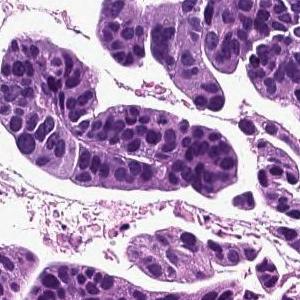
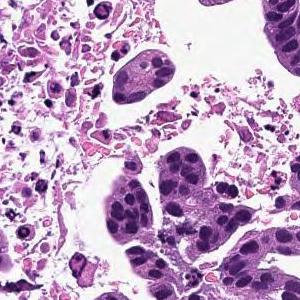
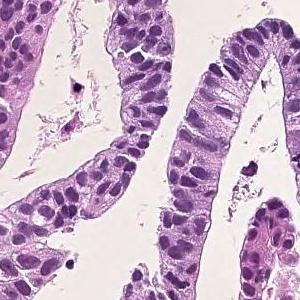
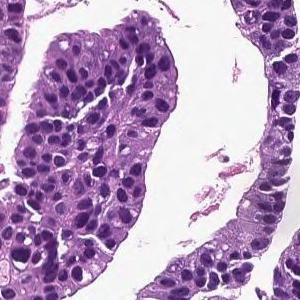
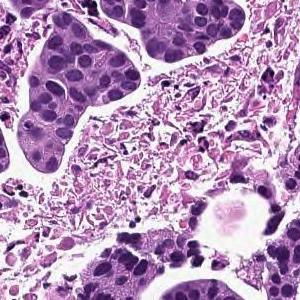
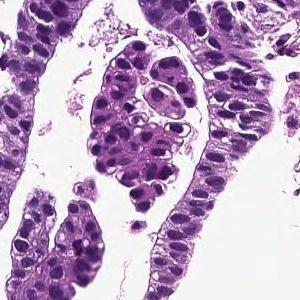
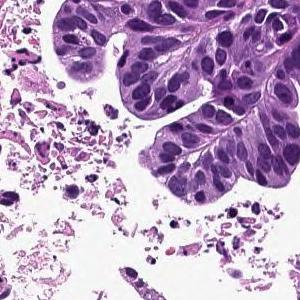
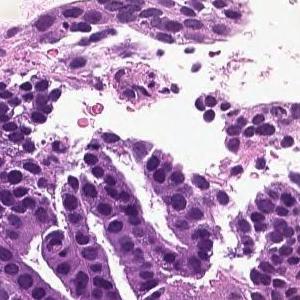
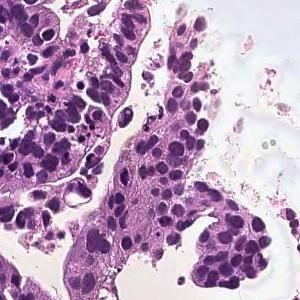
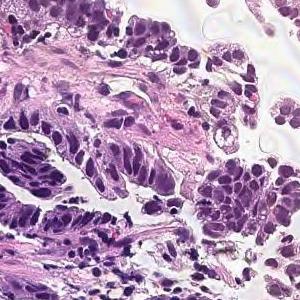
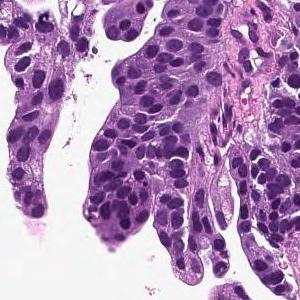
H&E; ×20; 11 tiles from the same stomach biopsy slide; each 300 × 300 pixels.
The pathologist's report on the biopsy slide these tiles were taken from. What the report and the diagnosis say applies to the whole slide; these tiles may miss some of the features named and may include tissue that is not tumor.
Tumor cells are large, highly columnar, large club-shaped nuclei, and are associated with chromatin aggregation. Papillary adenocarcinoma.
